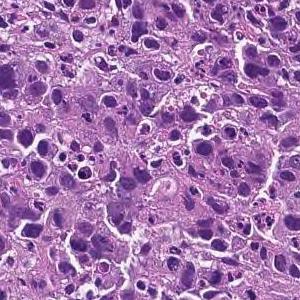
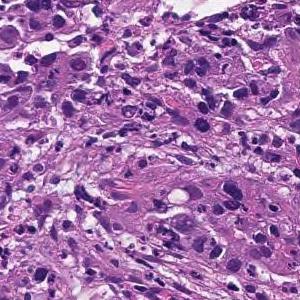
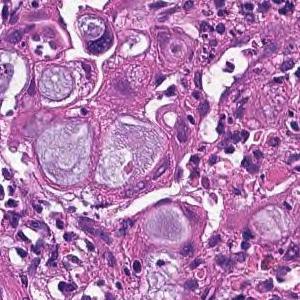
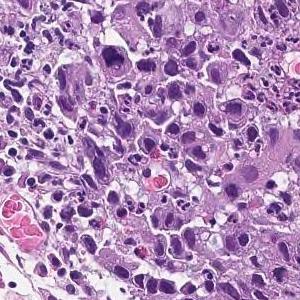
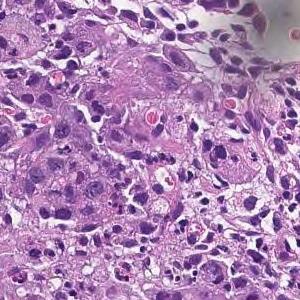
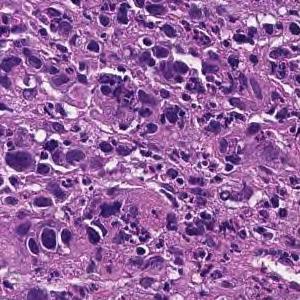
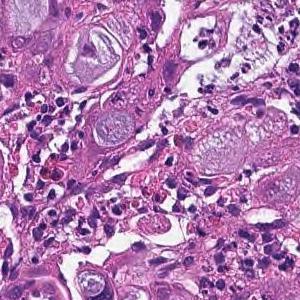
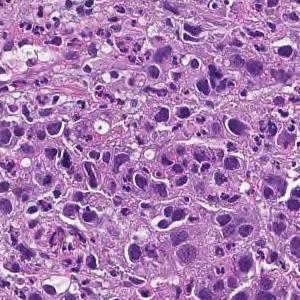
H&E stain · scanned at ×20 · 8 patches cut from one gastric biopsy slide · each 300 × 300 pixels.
The pathologist's report on the biopsy slide these tiles were taken from. The report describes the whole slide, diagnosis included: not every finding it names need appear in these tiles, which may also show non-tumor tissue.
The superficial epithelium shows a large sheet-like shape, and some tumor tissue infiltrates with small irregular ducts. Poorly differentiated adenocarcinoma, solid-type
Classified as poorly differentiated adenocarcinoma, solid type, a category of the Japanese Classification of Gastric Carcinoma; in the WHO 2019 classification it is tubular adenocarcinoma, poorly differentiated.
